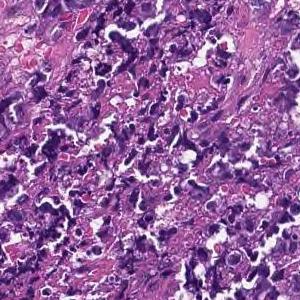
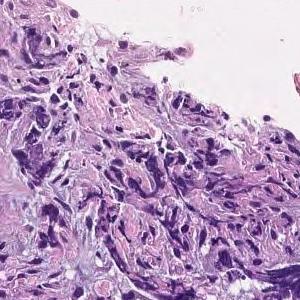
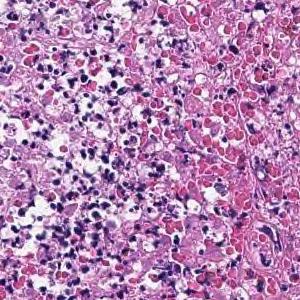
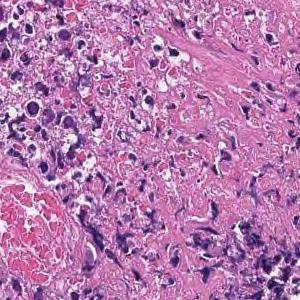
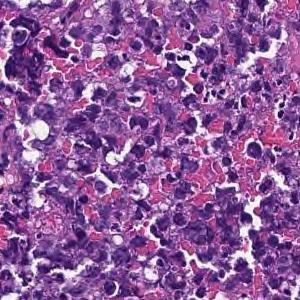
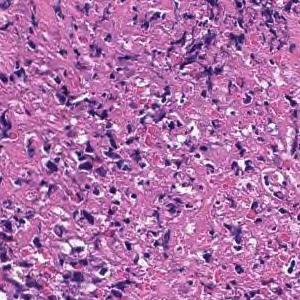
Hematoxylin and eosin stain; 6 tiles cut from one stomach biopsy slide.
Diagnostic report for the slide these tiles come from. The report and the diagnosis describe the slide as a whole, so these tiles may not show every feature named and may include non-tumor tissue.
Most are composed of coagulative necrotic tissue, but some show a large sheet-like shape, and some show tumor tissue infiltrating with a small cord-like structure. Poorly differentiated adenocarcinoma, solid-type
Histological subtype: Poorly differentiated adenocarcinoma, solid type. This name comes from the Japanese Classification of Gastric Carcinoma; the WHO 2019 classification calls it tubular adenocarcinoma, poorly differentiated.
